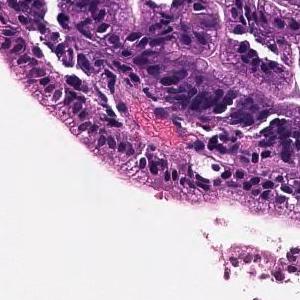
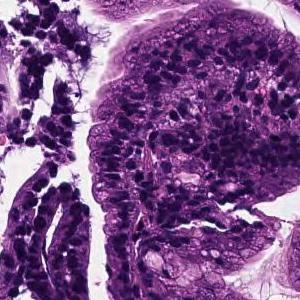
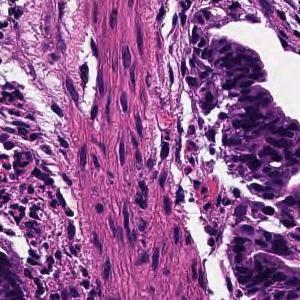
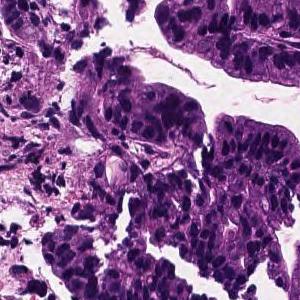
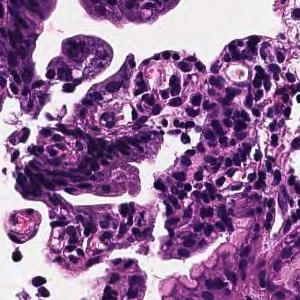
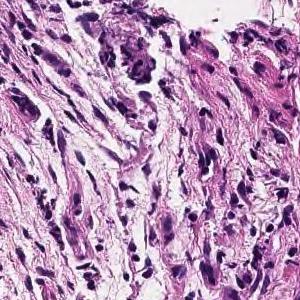
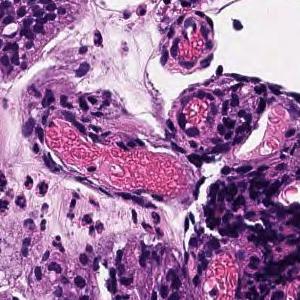
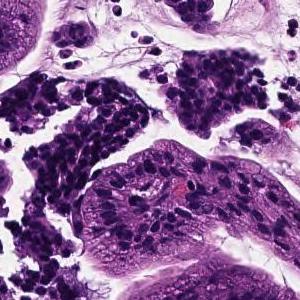
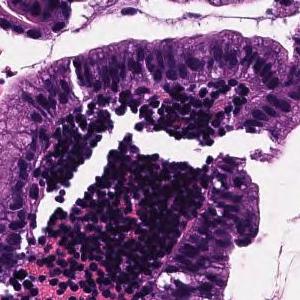
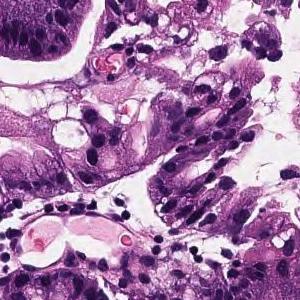
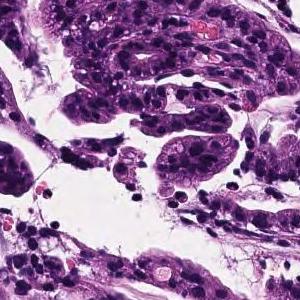
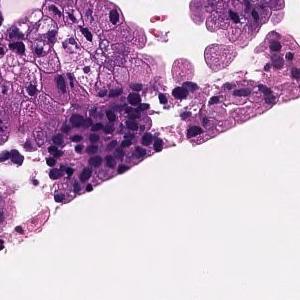
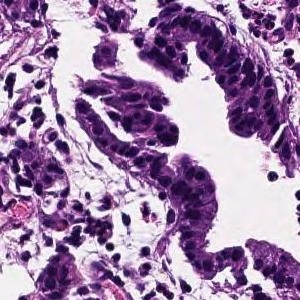
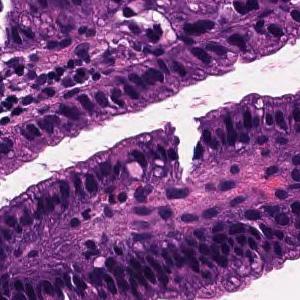
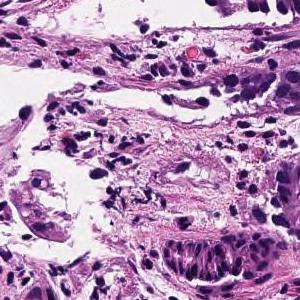
15 image tiles from a single gastric biopsy slide · 300 × 300 pixels each · H&E stain · ×20.
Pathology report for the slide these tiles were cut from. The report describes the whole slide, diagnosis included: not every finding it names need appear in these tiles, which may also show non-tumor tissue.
On the superficial epithelium, tumor tissue that infiltrates by forming medium-sized papillary or small irregular ducts is observed. Papillary adenocarcinoma
